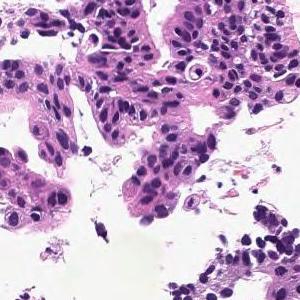
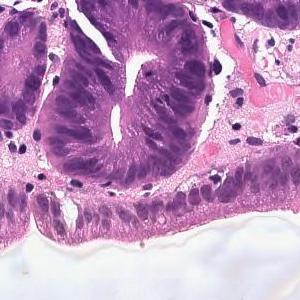
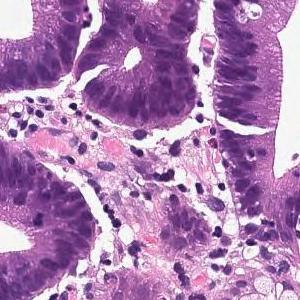
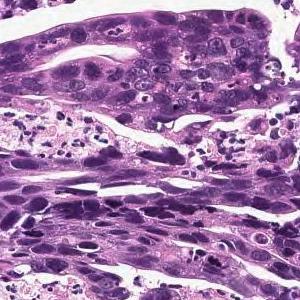
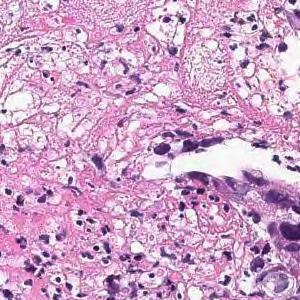
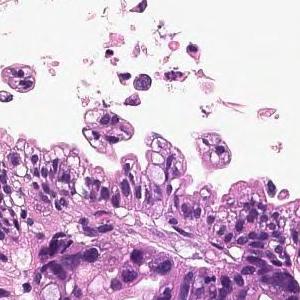
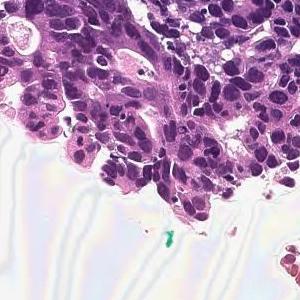
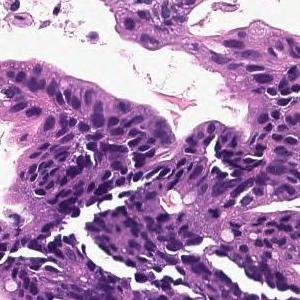
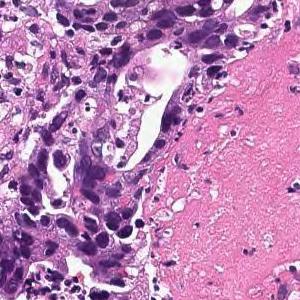
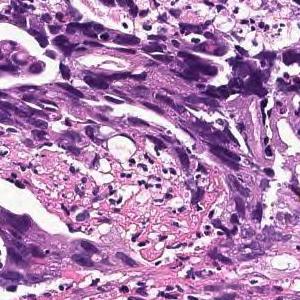
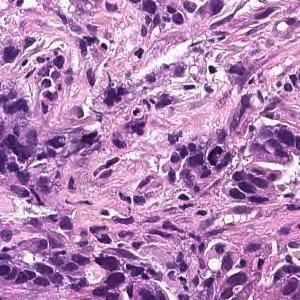
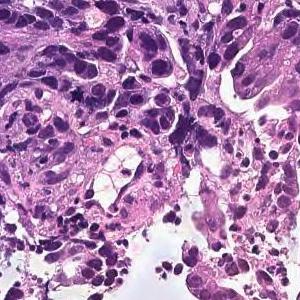
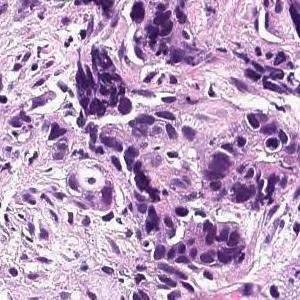
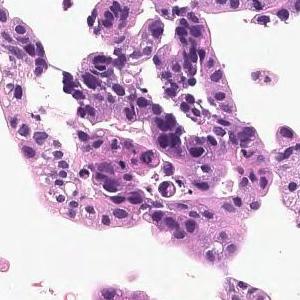
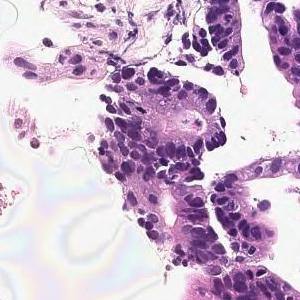
15 image tiles from a single gastric biopsy slide, each 300 × 300 pixels.
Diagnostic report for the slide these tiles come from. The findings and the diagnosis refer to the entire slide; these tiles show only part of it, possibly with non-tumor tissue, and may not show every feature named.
In the superficial epithelium, tumor tissue that invades by forming medium-sized to small, irregular ducts is observed. moderately differentiated tubular adenocarcinoma.
